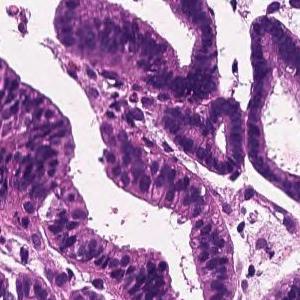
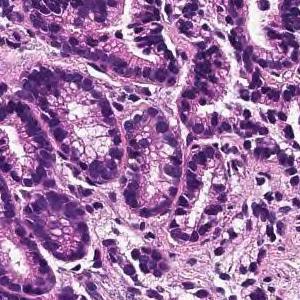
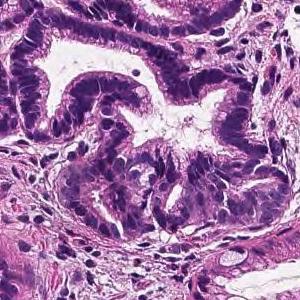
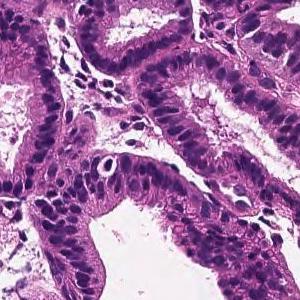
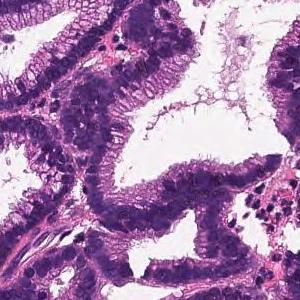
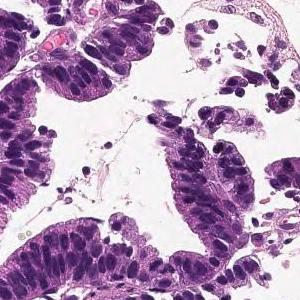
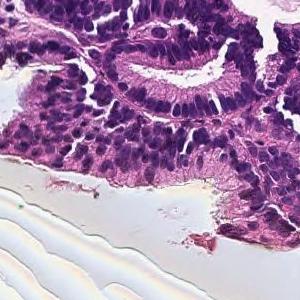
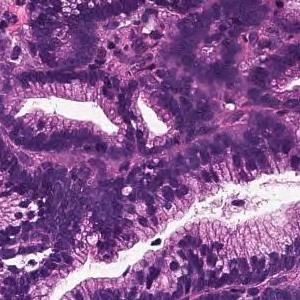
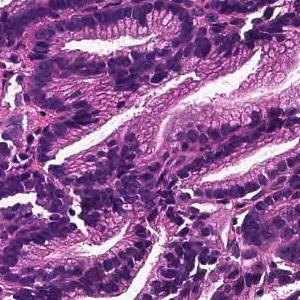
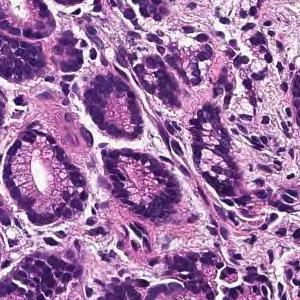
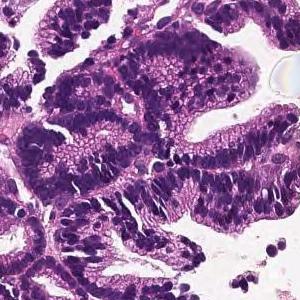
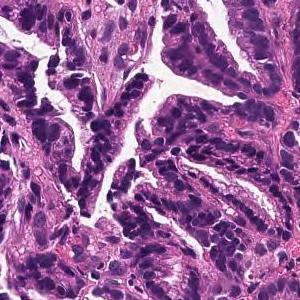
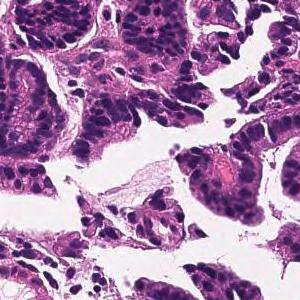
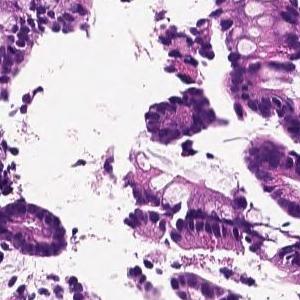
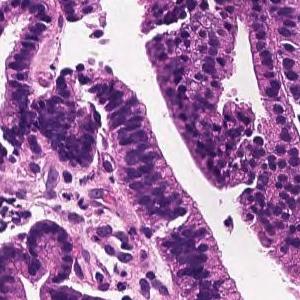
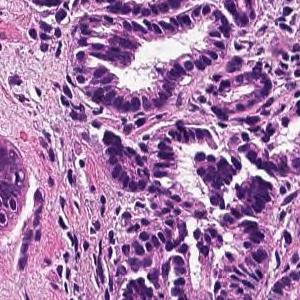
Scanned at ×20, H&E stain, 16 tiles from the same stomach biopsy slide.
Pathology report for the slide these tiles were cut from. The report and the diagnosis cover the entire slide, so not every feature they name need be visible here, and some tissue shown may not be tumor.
On the superficial epithelium, tumor tissue consisting of large irregular glandular ducts partially fused and infiltrated is observed. Well to moderately differentiated tubular adenocarcinoma (well differentiated tubular adenocarcinoma, moderately differentiated tubular adenocarcinoma)
Histologic type: Well to moderately differentiated tubular adenocarcinoma.
